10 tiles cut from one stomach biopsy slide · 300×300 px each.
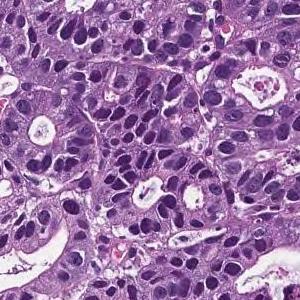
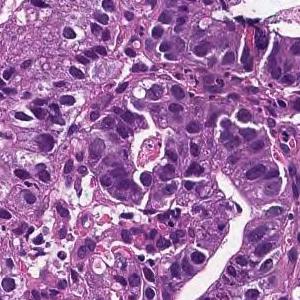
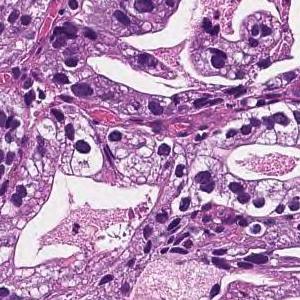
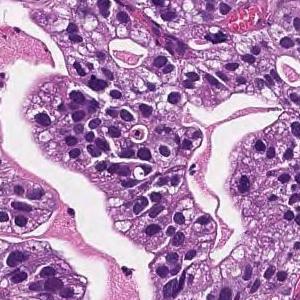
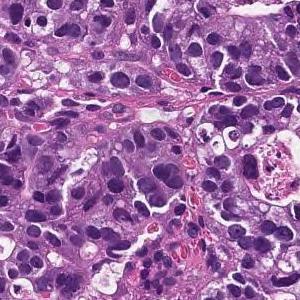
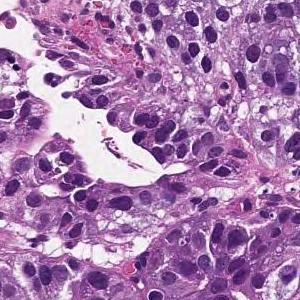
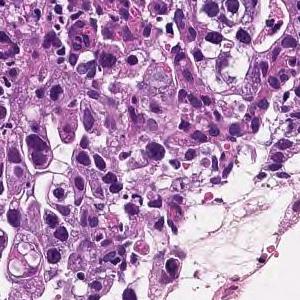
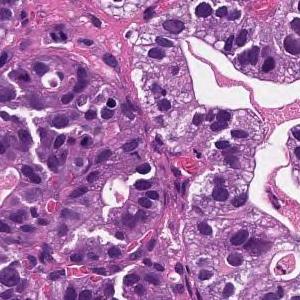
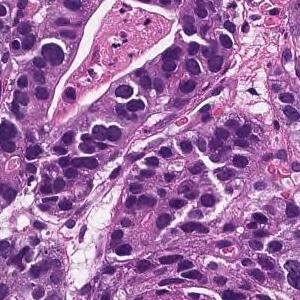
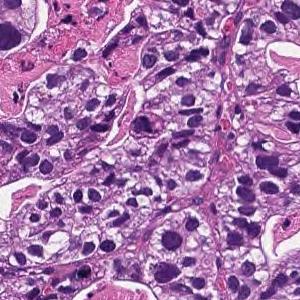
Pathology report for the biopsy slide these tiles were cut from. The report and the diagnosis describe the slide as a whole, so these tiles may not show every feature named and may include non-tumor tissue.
On the superficial epithelium, tumor tissue consisting of large, irregular glandular ducts partially fused and infiltrated is observed. Well to moderately differentiated tubular adenocarcinoma (well differentiated tubular adenocarcinoma, moderately differentiated tubular adenocarcinoma)
Classified as well to moderately differentiated tubular adenocarcinoma.
